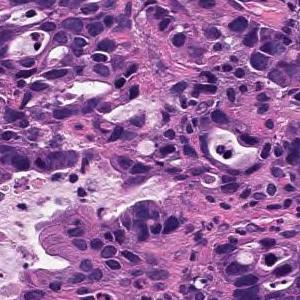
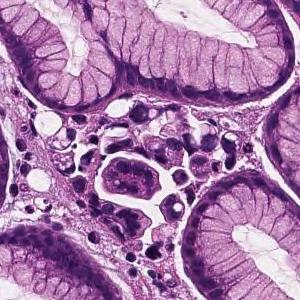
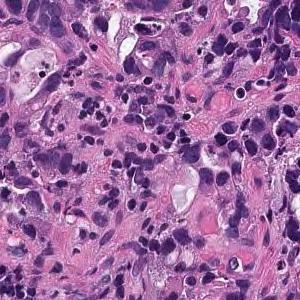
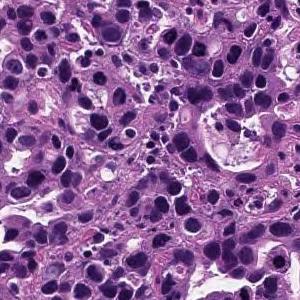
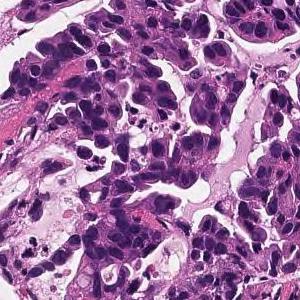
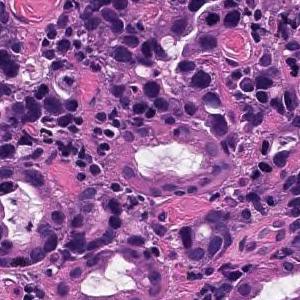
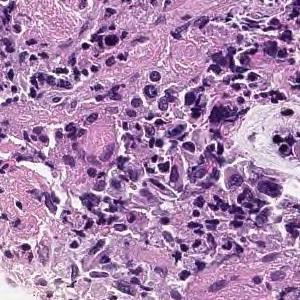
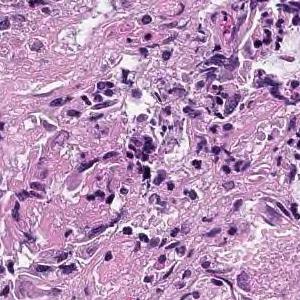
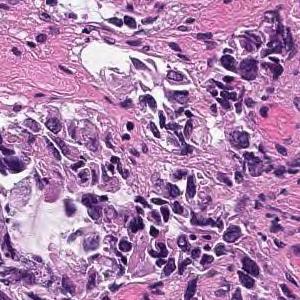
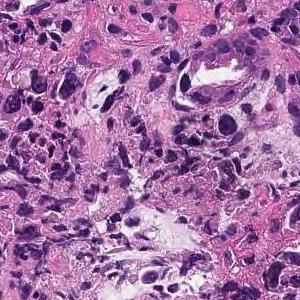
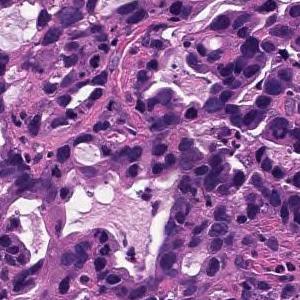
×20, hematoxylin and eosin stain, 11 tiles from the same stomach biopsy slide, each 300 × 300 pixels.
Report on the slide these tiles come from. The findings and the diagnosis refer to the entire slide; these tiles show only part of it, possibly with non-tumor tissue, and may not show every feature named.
In the superficial epithelium, tumor tissue that invades by forming medium-sized to small, irregular ducts is observed. moderately differentiated tubular adenocarcinoma.
